16 tiles cut from one stomach biopsy slide · 300 × 300 pixels each · H&E.
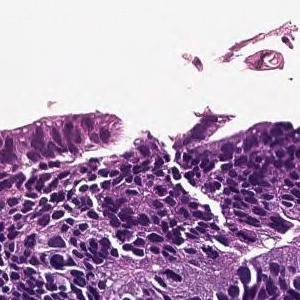
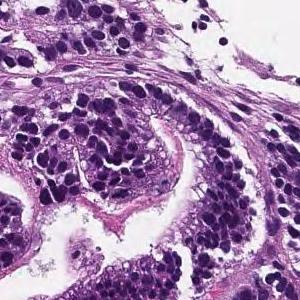
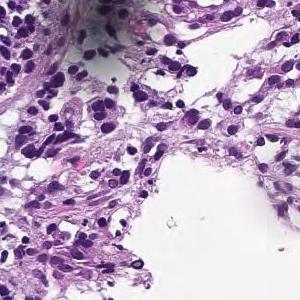
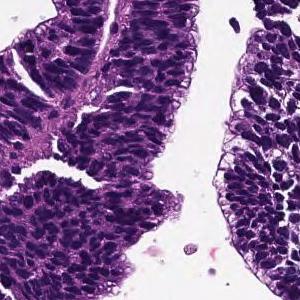
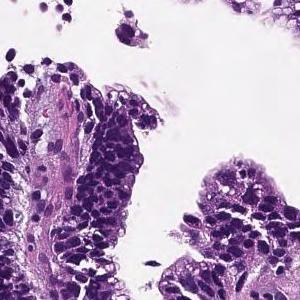
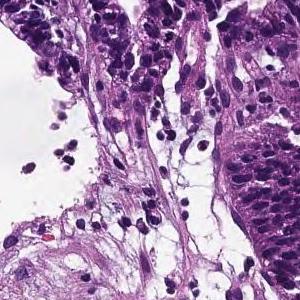
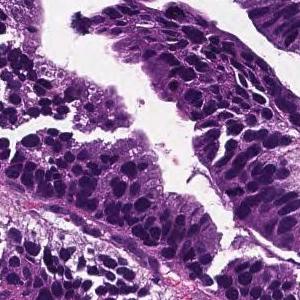
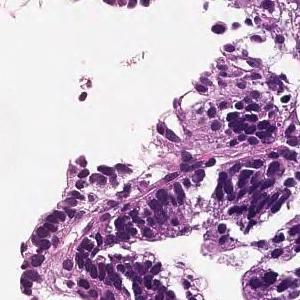
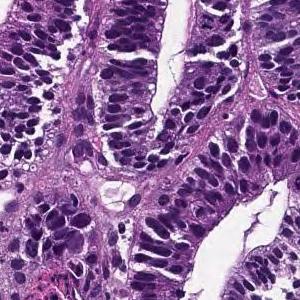
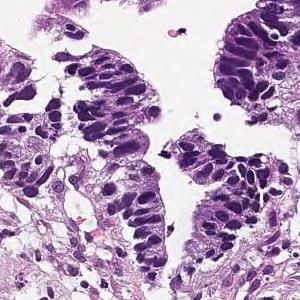
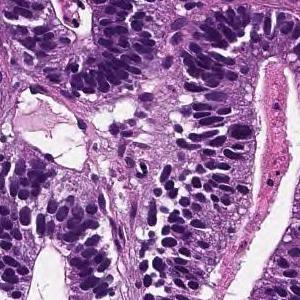
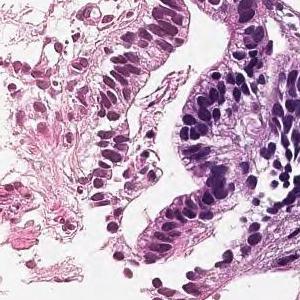
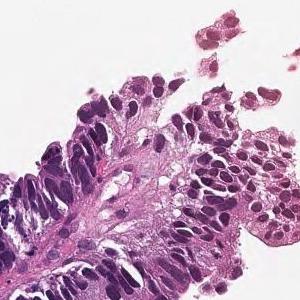
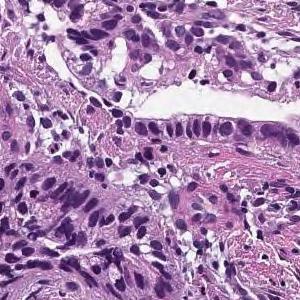
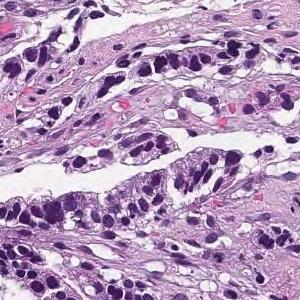
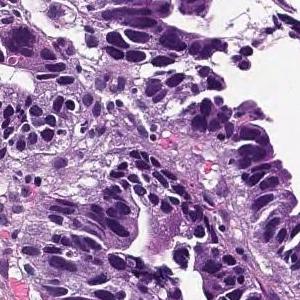
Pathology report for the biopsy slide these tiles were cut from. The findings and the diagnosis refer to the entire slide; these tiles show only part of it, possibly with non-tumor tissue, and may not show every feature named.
Tumor cells are large, highly columnar, large club-shaped nuclei, and are associated with chromatin aggregation. Papillary adenocarcinoma.
